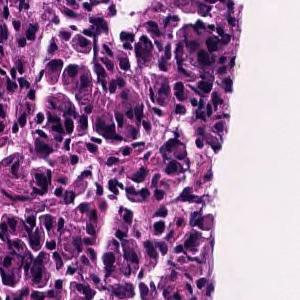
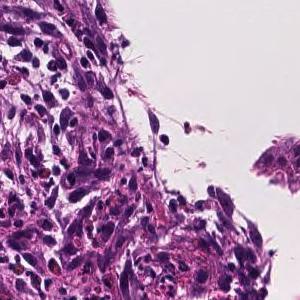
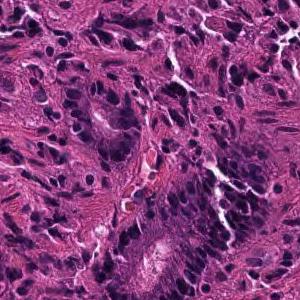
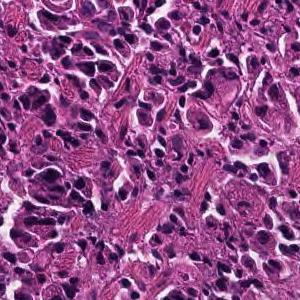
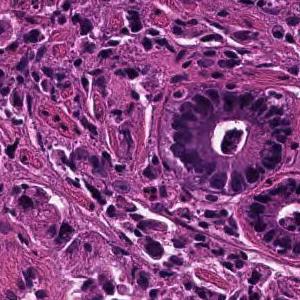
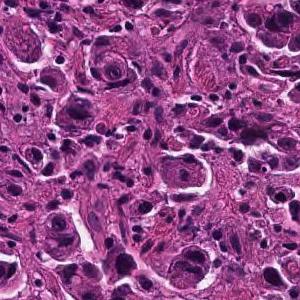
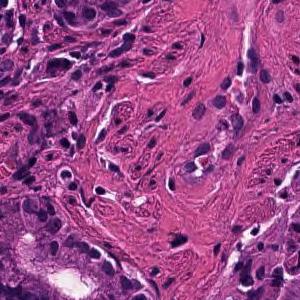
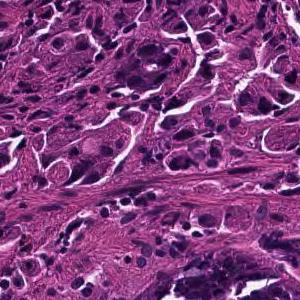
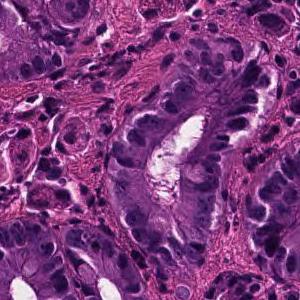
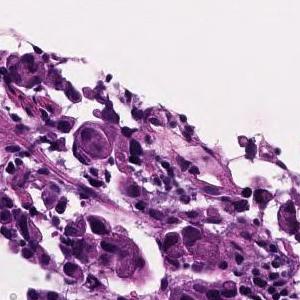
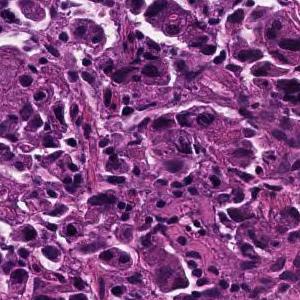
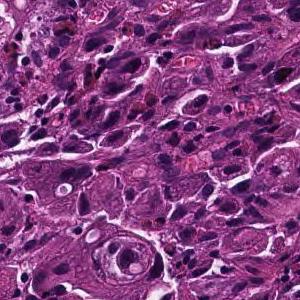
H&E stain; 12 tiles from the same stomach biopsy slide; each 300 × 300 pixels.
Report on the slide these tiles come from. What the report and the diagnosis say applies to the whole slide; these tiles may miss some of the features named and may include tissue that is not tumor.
Tumor tissue consisting of cord-like or small, irregular glandular ducts fused and infiltrated is observed in the superficial epithelium. Poorly differentiated adenocarcinoma, non-solid type
"Non-solid type" is a category of the Japanese Classification of Gastric Carcinoma.
